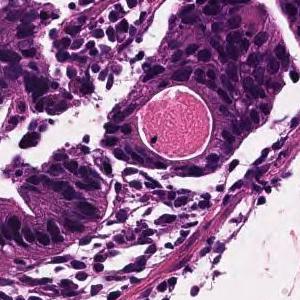
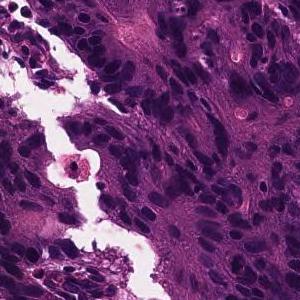
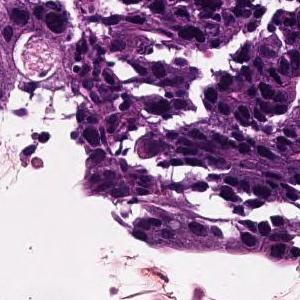
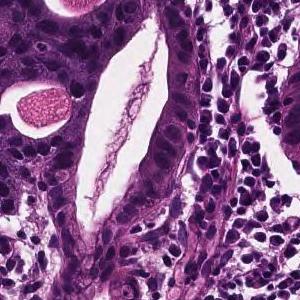
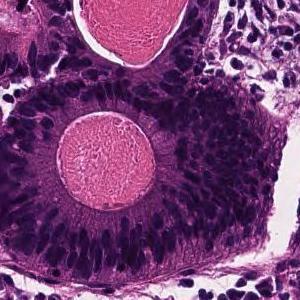
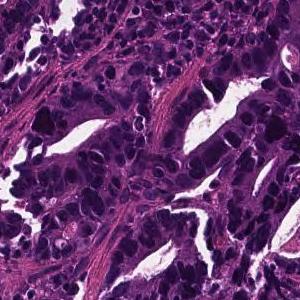
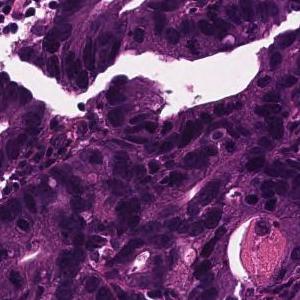
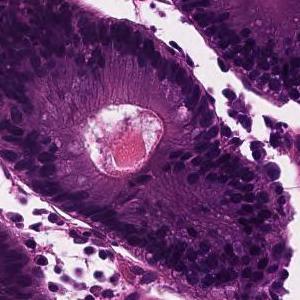
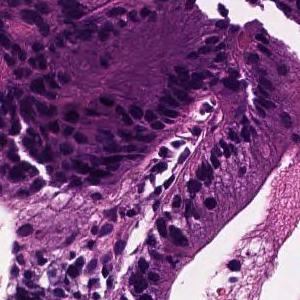
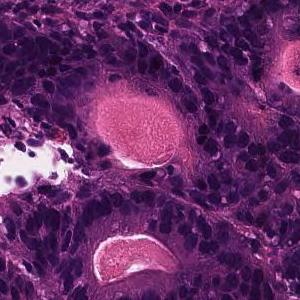
×20, hematoxylin and eosin stain, 10 image tiles from a single gastric biopsy slide.
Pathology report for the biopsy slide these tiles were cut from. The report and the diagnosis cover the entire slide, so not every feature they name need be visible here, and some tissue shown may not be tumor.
In the superficial epithelium, tumor tissue that invades by forming medium-sized to small, irregular ducts is observed. moderately differentiated tubular adenocarcinoma.
